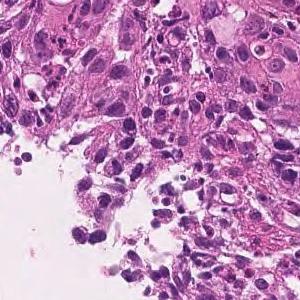
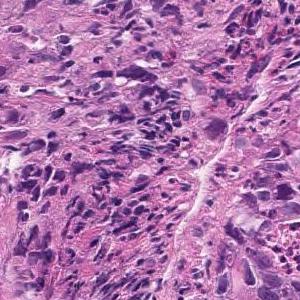
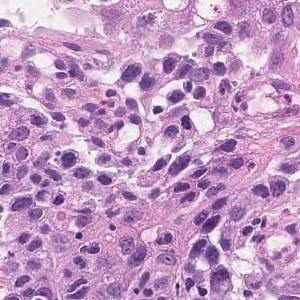
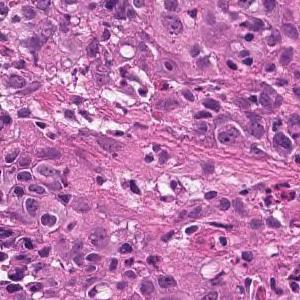
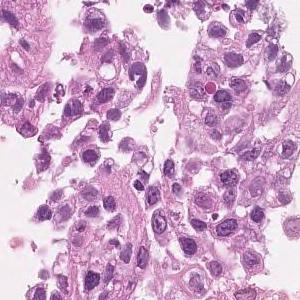
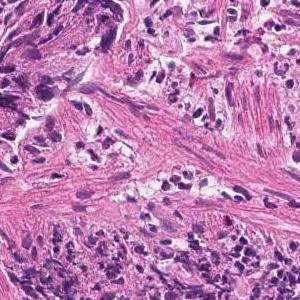
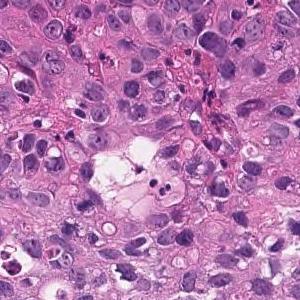
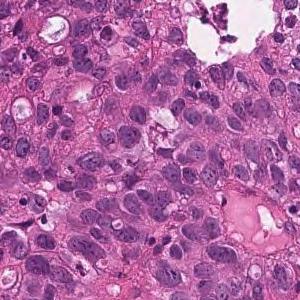
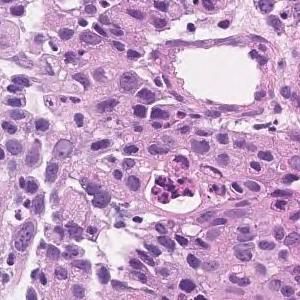
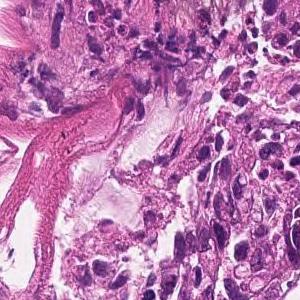
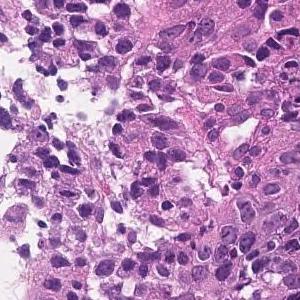
H&E stain, 11 tiles from the same stomach biopsy slide.
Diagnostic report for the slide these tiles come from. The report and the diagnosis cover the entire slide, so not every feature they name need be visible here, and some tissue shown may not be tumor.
The superficial epithelium shows a large sheet-like shape, and some tumor tissue infiltrates with small irregular ducts. Poorly differentiated adenocarcinoma, solid-type
Histologic type: Poorly differentiated adenocarcinoma, solid type, a category of the Japanese Classification of Gastric Carcinoma; in the WHO 2019 classification it is tubular adenocarcinoma, poorly differentiated.
